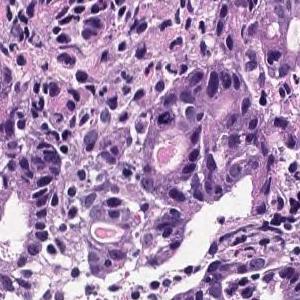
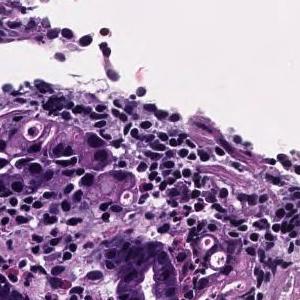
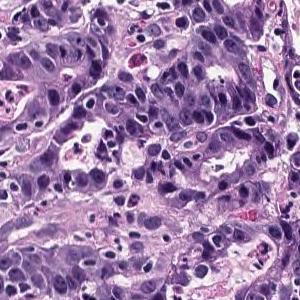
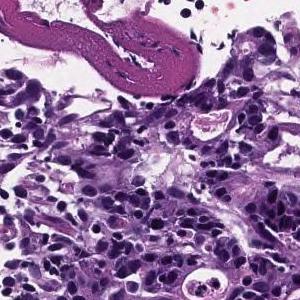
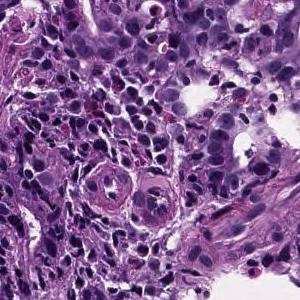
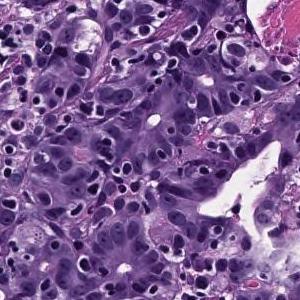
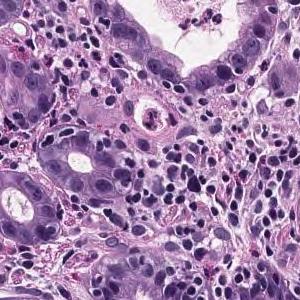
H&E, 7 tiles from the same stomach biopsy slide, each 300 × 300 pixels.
Pathology report for the biopsy slide these tiles were cut from. Both the report and the diagnosis are for the whole slide: these tiles need not show every feature named, and some of the tissue shown may not be tumor.
In the superficial epithelium, tumor tissue that invades by forming medium-sized to small, irregular ducts is observed. moderately differentiated tubular adenocarcinoma.
